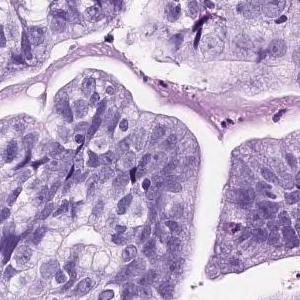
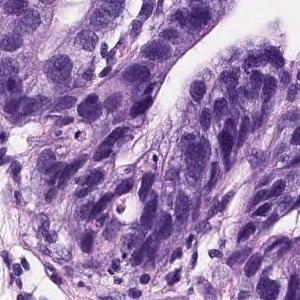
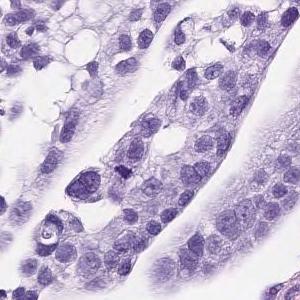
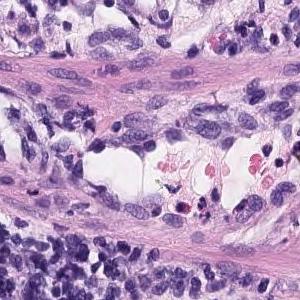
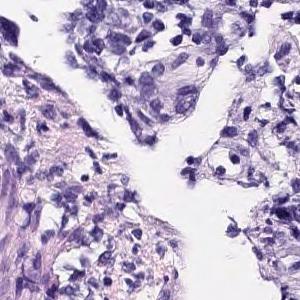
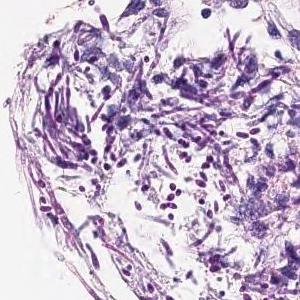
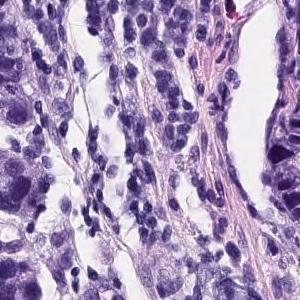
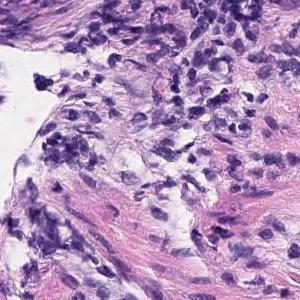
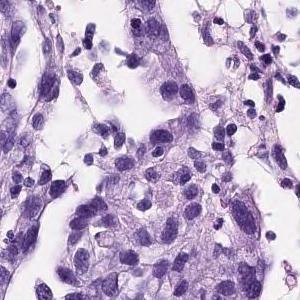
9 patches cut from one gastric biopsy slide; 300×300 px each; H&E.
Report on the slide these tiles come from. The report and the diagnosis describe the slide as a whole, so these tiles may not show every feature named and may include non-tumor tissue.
On the superficial epithelium, tumor tissue consisting of medium to small irregular tubules partially fused and proliferated is observed. moderately differentiated tubular adenocarcinoma
